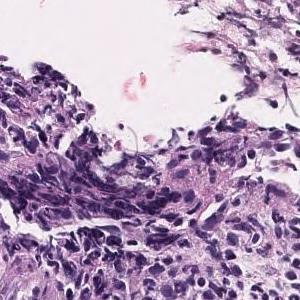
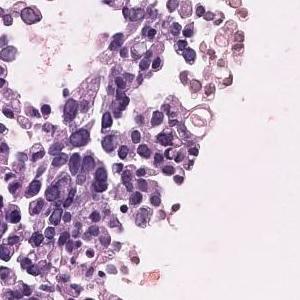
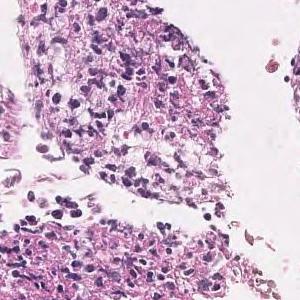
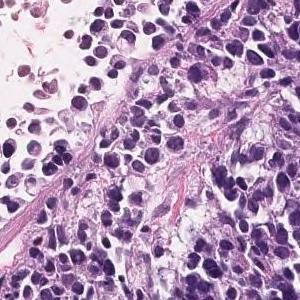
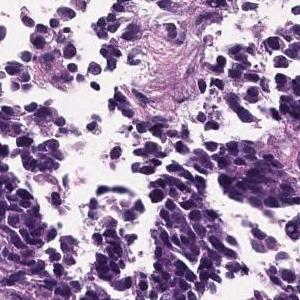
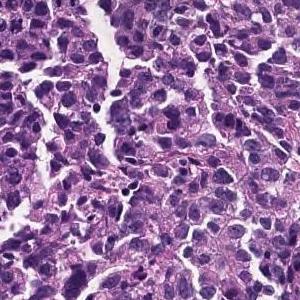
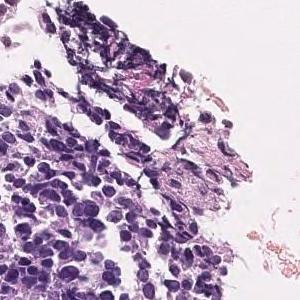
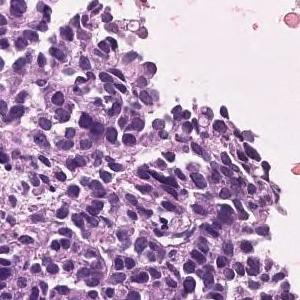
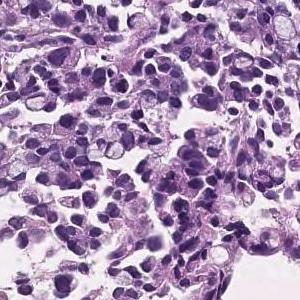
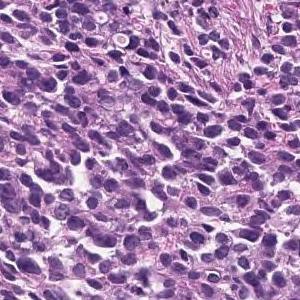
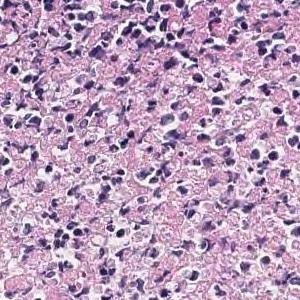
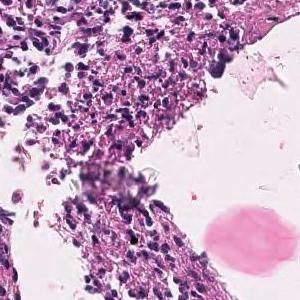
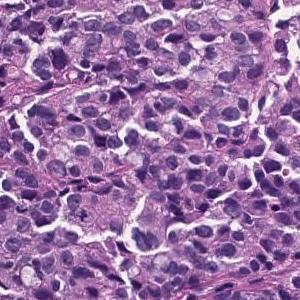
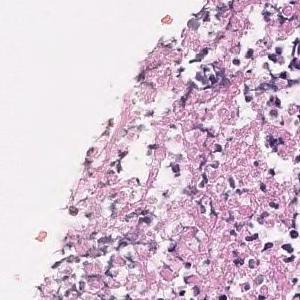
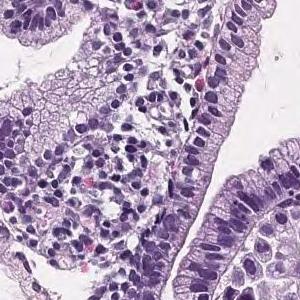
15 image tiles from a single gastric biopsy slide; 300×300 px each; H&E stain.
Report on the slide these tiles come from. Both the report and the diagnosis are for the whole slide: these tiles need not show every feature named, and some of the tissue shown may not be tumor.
The superficial epithelium shows a large sheet-like shape, and some tumor tissue infiltrates with small irregular ducts. Poorly differentiated adenocarcinoma, solid-type
Histologic type: Poorly differentiated adenocarcinoma, solid type, a category of the Japanese Classification of Gastric Carcinoma; in the WHO 2019 classification it is tubular adenocarcinoma, poorly differentiated.
